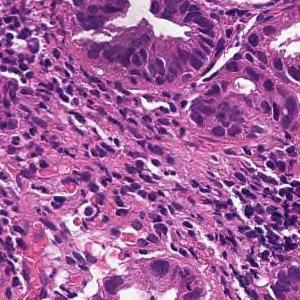
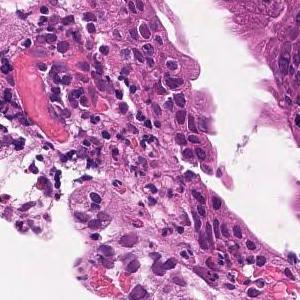
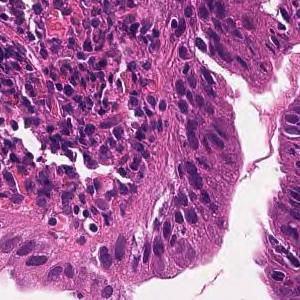
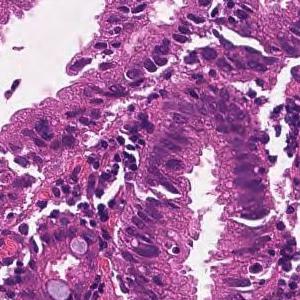
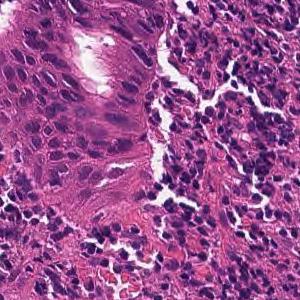
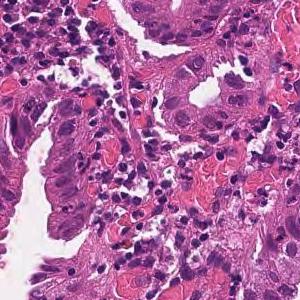
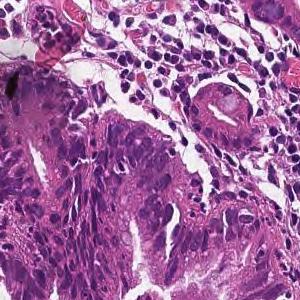
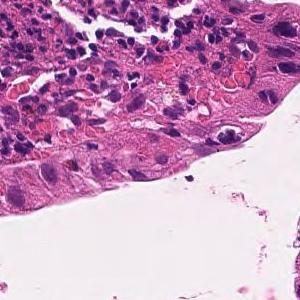
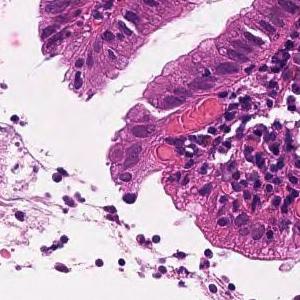
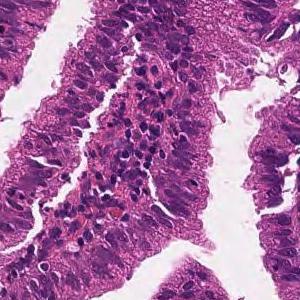
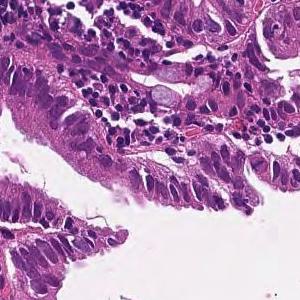
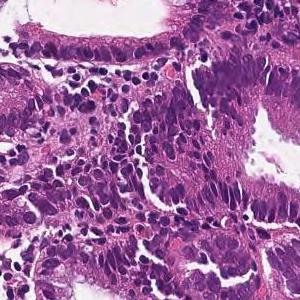
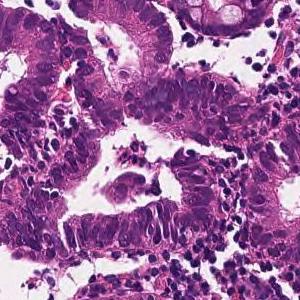
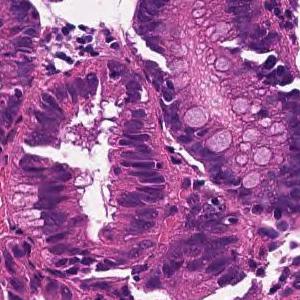
14 tiles from the same stomach biopsy slide · each 300 × 300 pixels · H&E stain · scanned at ×20.
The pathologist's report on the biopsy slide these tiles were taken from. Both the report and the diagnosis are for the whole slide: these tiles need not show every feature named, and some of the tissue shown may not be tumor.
From the superficial epithelium to the muscularis mucosae, tumor tissue infiltrating by forming medium-sized irregular gland ducts is observed. Large tumor cells exhibit large nucleus and hyperchromatism. Well differentiated tubular adenocarcinoma
